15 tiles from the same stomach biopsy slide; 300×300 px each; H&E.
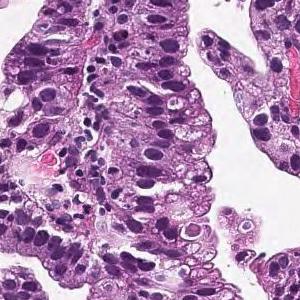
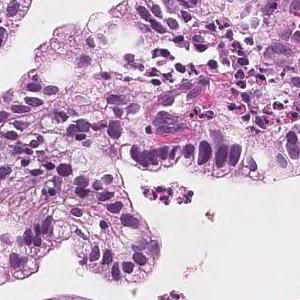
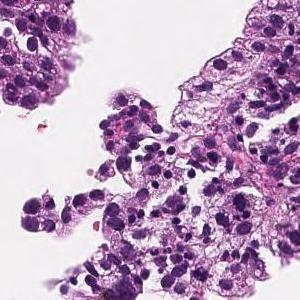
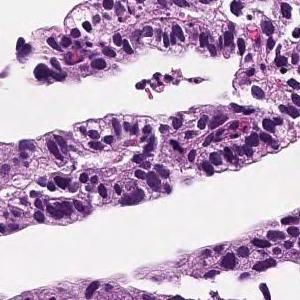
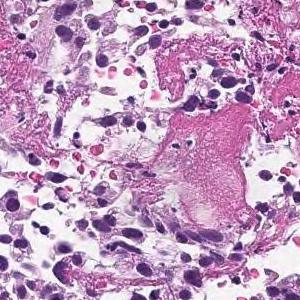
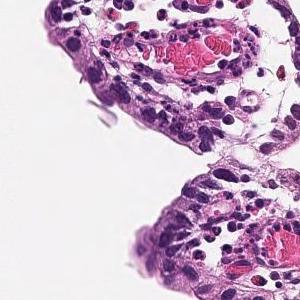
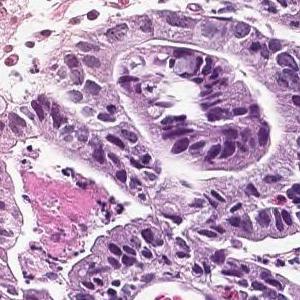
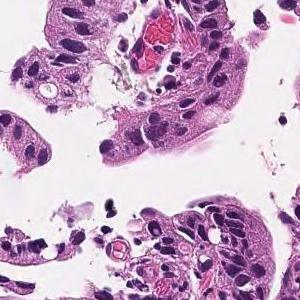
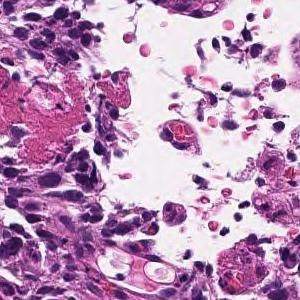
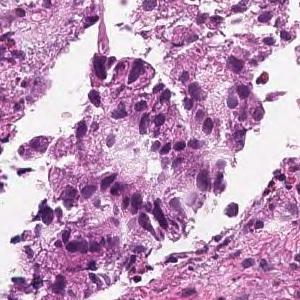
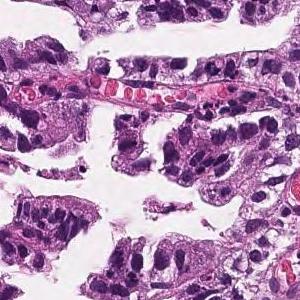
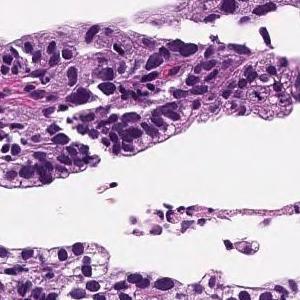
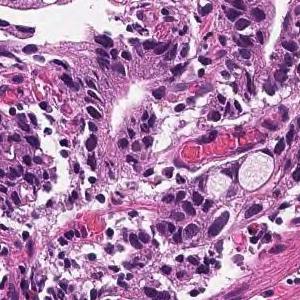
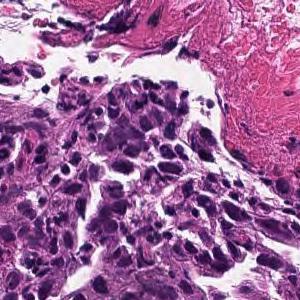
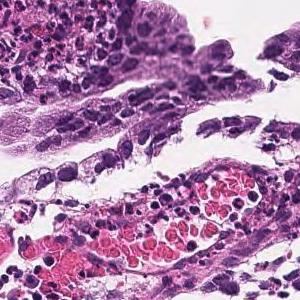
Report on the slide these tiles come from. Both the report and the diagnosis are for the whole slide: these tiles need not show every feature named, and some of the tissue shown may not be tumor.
Tumor tissue consisting of medium-sized, cord-like or irregular glandular infiltration is observed in the superficial epithelium. Poorly differentiated adenocarcinoma, non-solid type or moderately differentiated tubular adenocarcinoma
Subtype: Moderately to poorly differentiated adenocarcinoma.
"Non-solid type" is a category of the Japanese Classification of Gastric Carcinoma.
